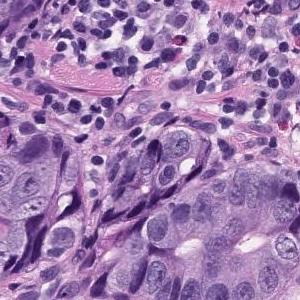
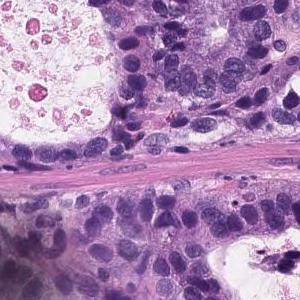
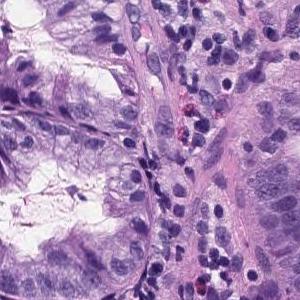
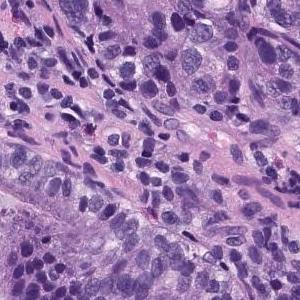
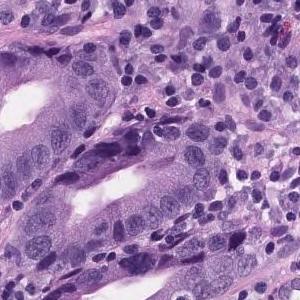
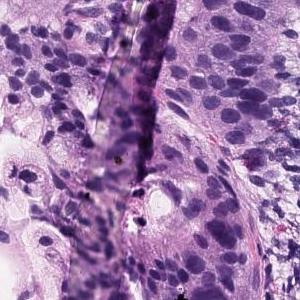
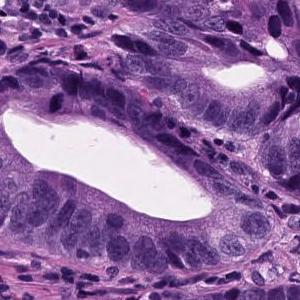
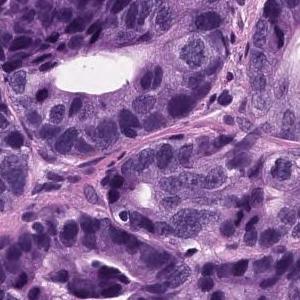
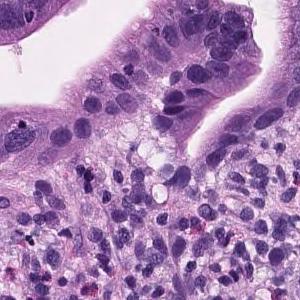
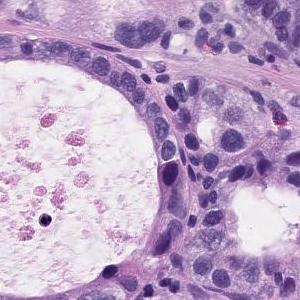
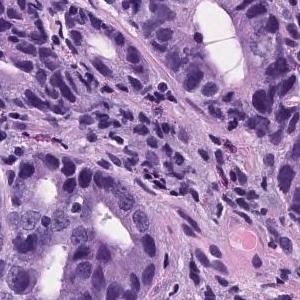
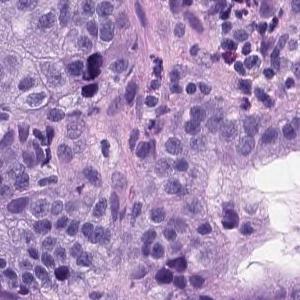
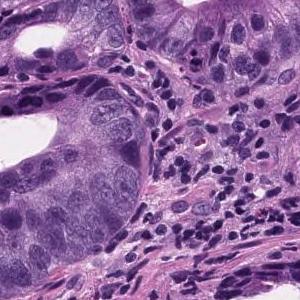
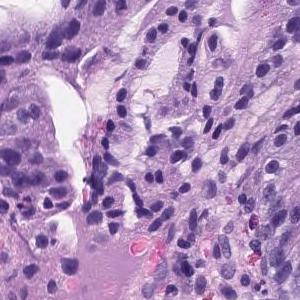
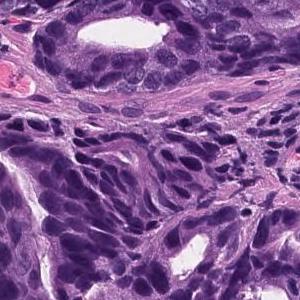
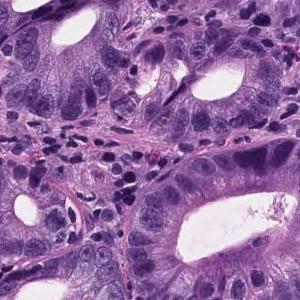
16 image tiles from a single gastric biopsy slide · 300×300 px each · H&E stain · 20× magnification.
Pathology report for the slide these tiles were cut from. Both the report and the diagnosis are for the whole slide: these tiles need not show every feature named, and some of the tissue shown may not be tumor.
Tumor tissue consisting of medium-sized and irregular ducts is observed infiltrating in the superficial epithelium. Tumor cells are highly columnar, with nuclei aligned basolaterally and polarized. Well differentiated tubular adenocarcinoma.
